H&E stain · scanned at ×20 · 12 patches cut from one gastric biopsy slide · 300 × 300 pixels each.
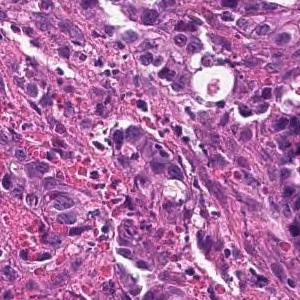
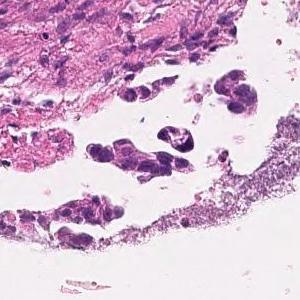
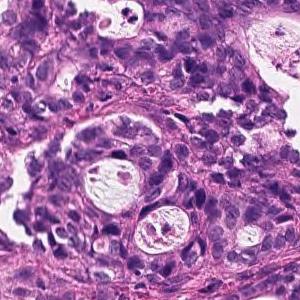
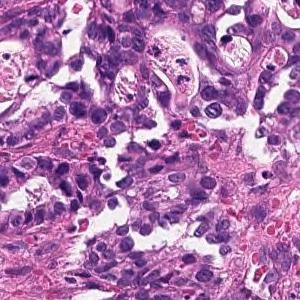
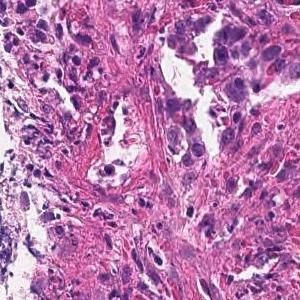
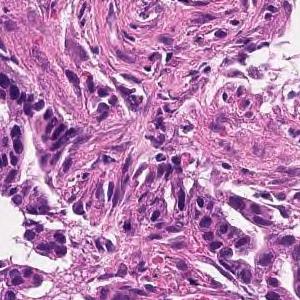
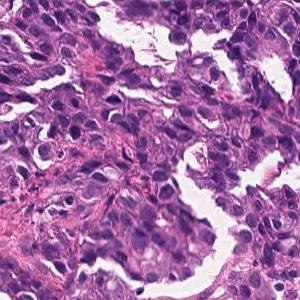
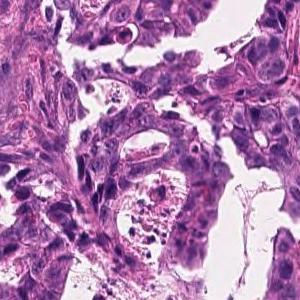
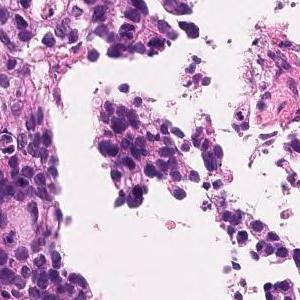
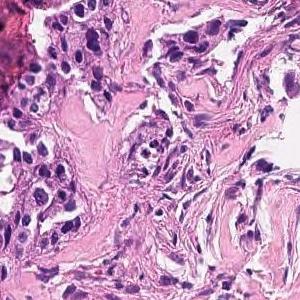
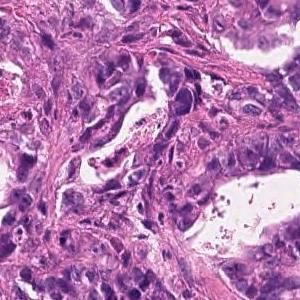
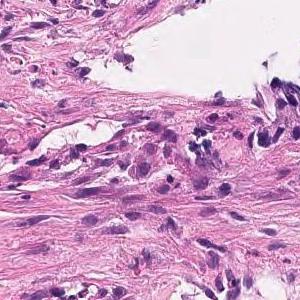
Pathology report for the biopsy slide these tiles were cut from. The findings and the diagnosis refer to the entire slide; these tiles show only part of it, possibly with non-tumor tissue, and may not show every feature named.
On the superficial epithelium, tumor tissue consisting of images of small to medium-sized and irregular tubules infiltrating with irregular fusion is observed. moderately differentiated tubular adenocarcinoma
